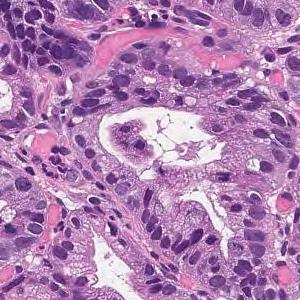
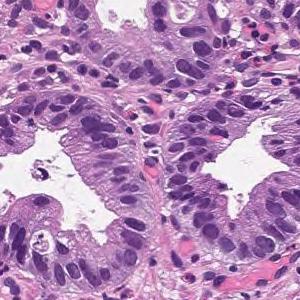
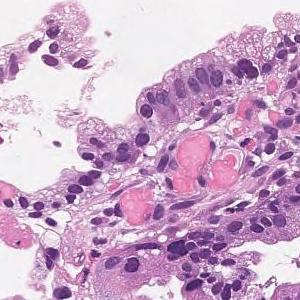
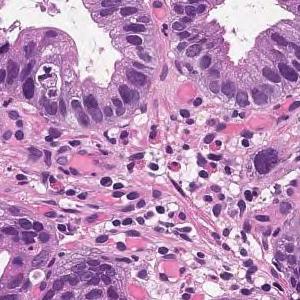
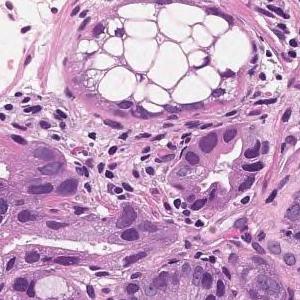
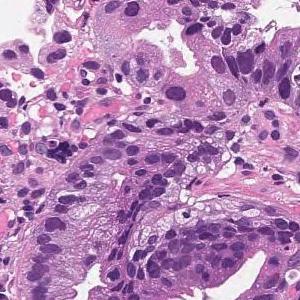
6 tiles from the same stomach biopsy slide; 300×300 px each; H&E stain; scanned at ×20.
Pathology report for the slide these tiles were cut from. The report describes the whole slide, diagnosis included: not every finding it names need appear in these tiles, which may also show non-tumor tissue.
On the superficial epithelium, tumor tissue consisting of large irregular glandular ducts partially fused and infiltrated is observed. Well to moderately differentiated tubular adenocarcinoma (well differentiated tubular adenocarcinoma, moderately differentiated tubular adenocarcinoma)
Subtype: Well to moderately differentiated tubular adenocarcinoma.
